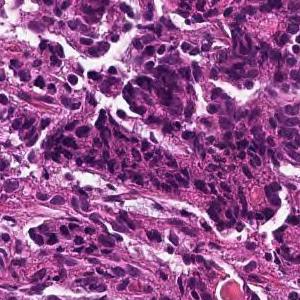
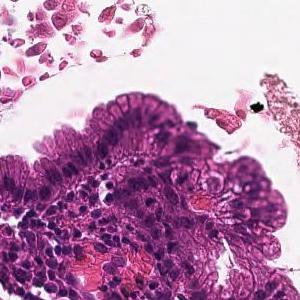
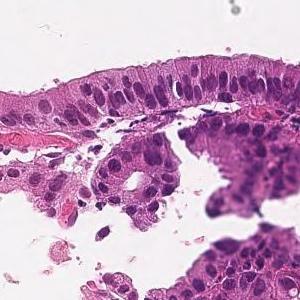
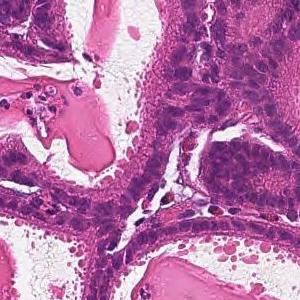
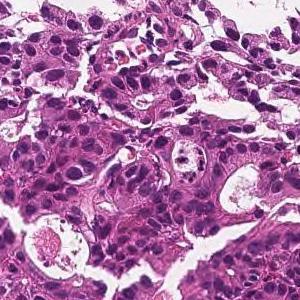
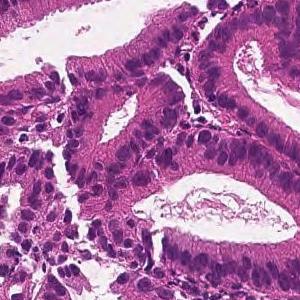
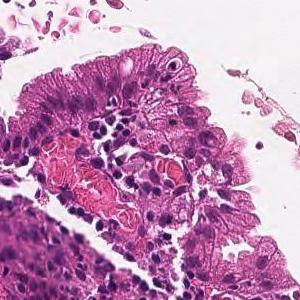
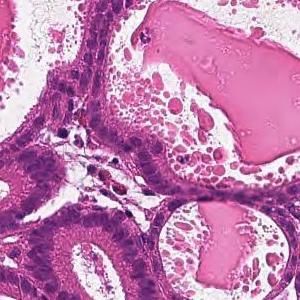
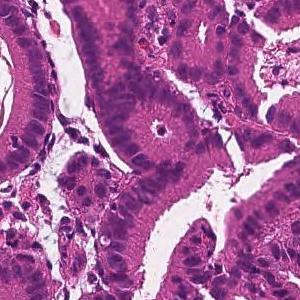
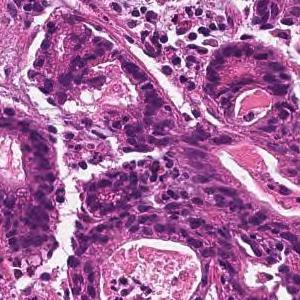
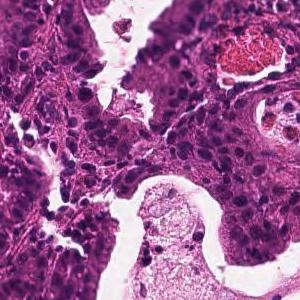
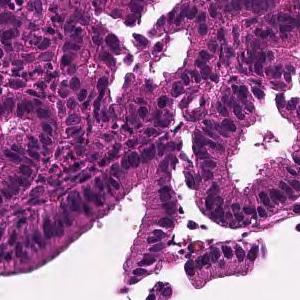
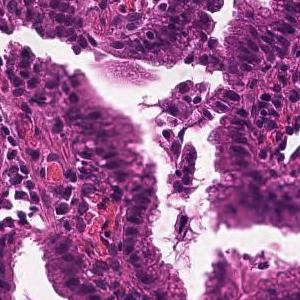
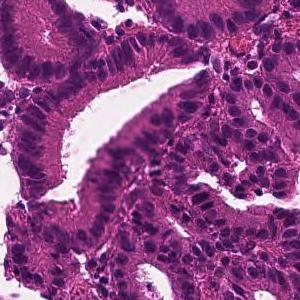
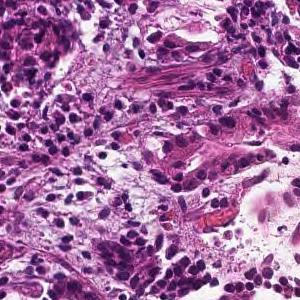
Scanned at ×20, H&E, 15 tiles from the same stomach biopsy slide, each 300 × 300 pixels.
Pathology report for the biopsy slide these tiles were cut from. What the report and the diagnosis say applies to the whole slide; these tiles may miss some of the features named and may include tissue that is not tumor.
From the superficial epithelium to the muscularis mucosae, tumor tissue consisting of medium-sized and irregular glandular ducts infiltrating is observed. Well differentiated tubular adenocarcinoma
